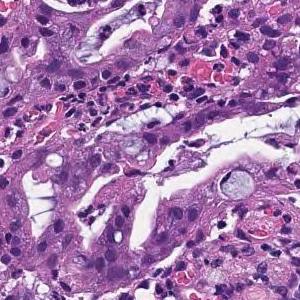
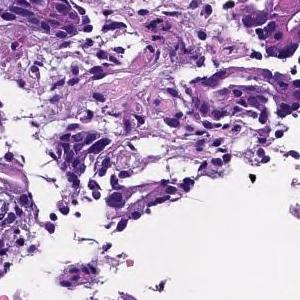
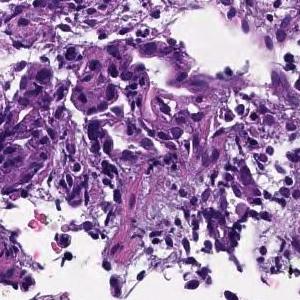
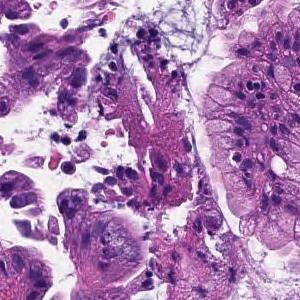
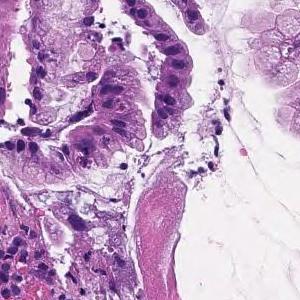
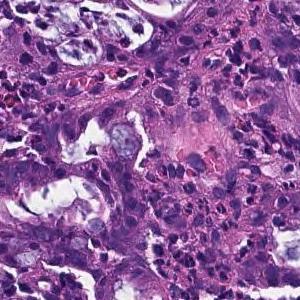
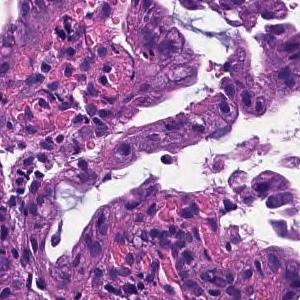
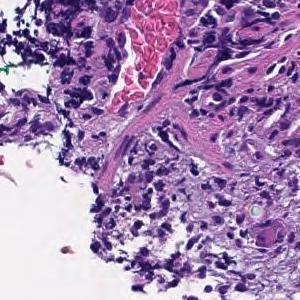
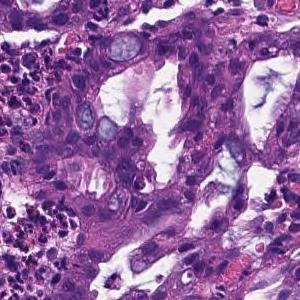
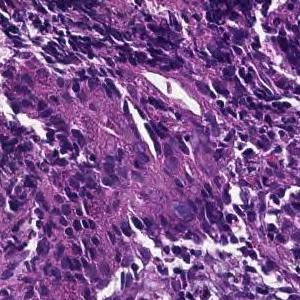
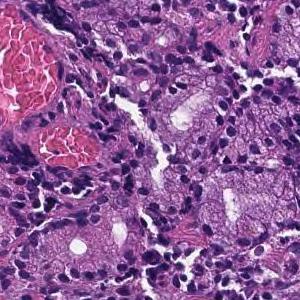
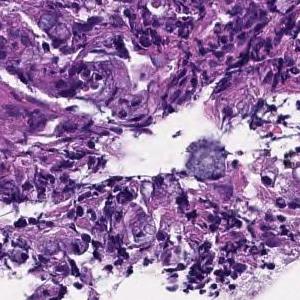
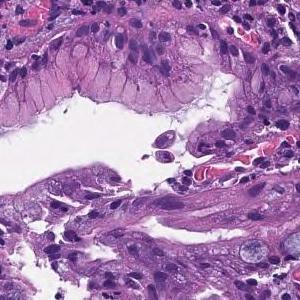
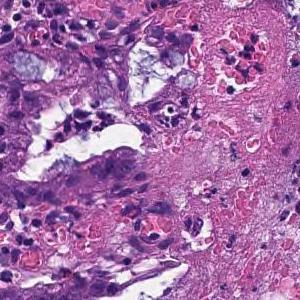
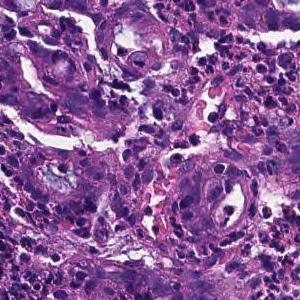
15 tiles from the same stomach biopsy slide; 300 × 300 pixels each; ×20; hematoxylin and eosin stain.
Pathology report for the biopsy slide these tiles were cut from. The report and the diagnosis describe the slide as a whole, so these tiles may not show every feature named and may include non-tumor tissue.
In the superficial epithelium, tumor tissue that invades by forming medium-sized to small, irregular ducts is observed. moderately differentiated tubular adenocarcinoma.
